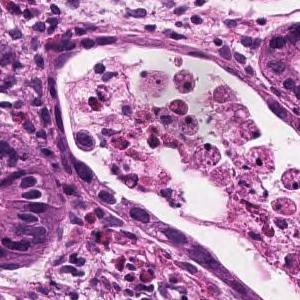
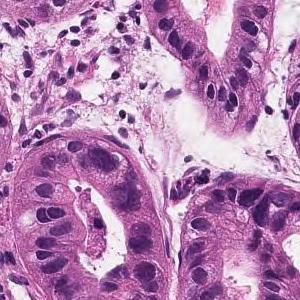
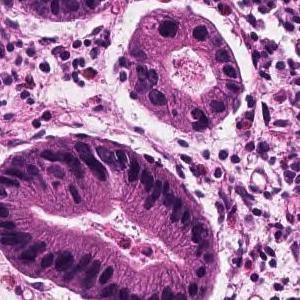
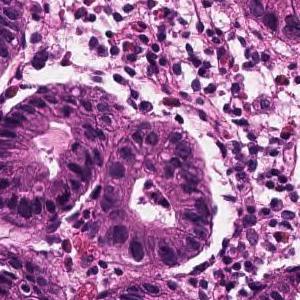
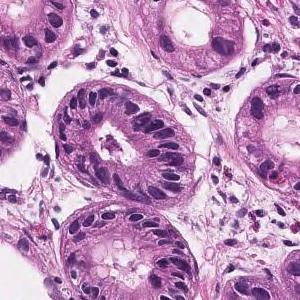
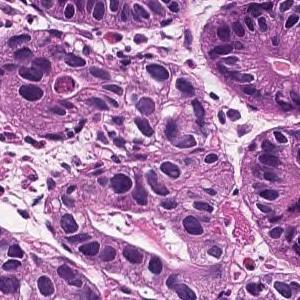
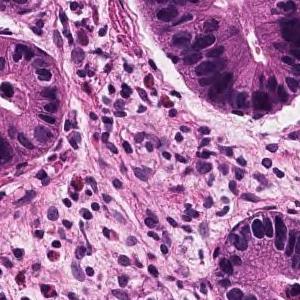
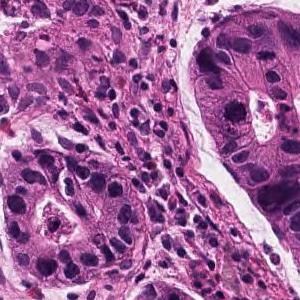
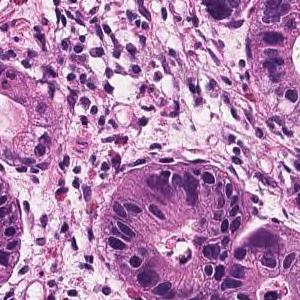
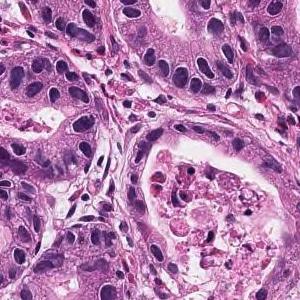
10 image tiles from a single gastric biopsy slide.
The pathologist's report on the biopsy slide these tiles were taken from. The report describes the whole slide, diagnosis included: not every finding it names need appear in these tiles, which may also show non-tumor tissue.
Tumor tissue in which medium to small irregular ducts infiltrate and proliferate in the submucosa can be seen in the epithelium. Well differentiated tubular adenocarcinoma
